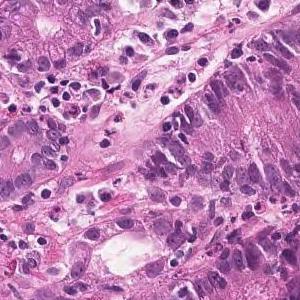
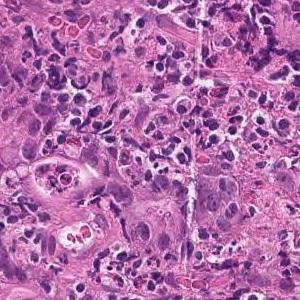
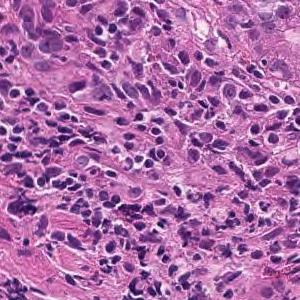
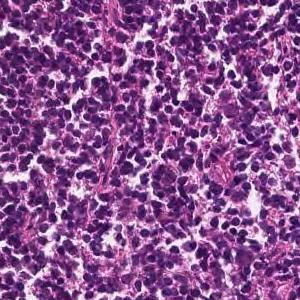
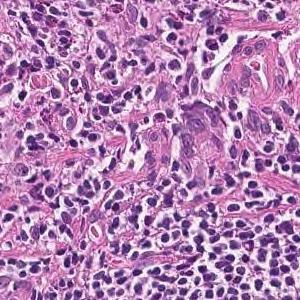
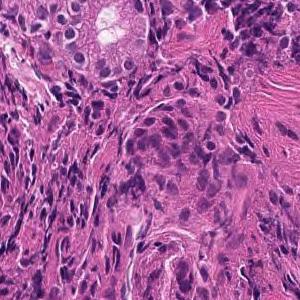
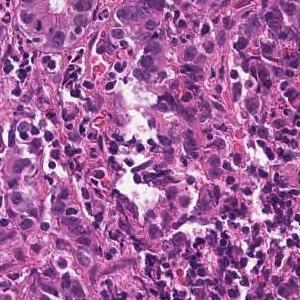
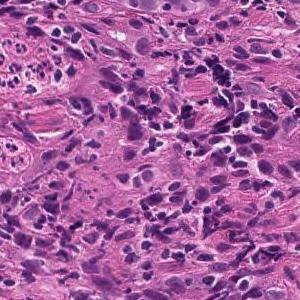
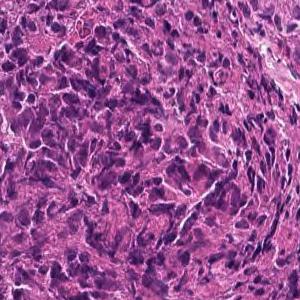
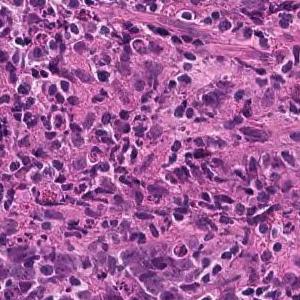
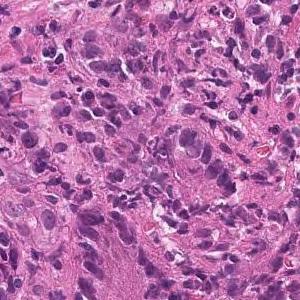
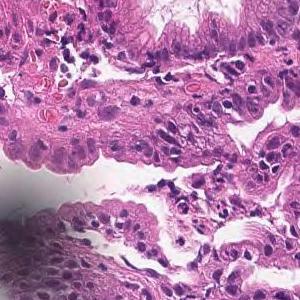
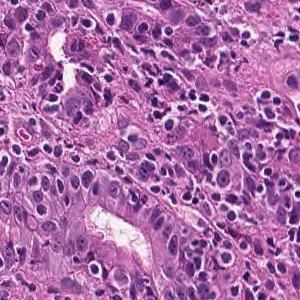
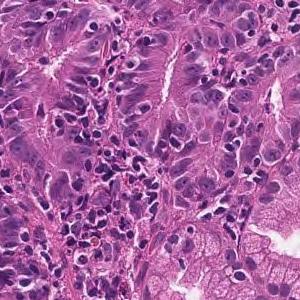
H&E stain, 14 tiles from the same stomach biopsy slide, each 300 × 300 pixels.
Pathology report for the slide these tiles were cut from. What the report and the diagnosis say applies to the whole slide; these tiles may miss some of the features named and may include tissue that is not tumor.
Tumor tissue consisting of medium-sized, cord-like or irregular glandular infiltration is observed in the superficial epithelium. Poorly differentiated adenocarcinoma, non-solid type or moderately differentiated tubular adenocarcinoma
The dataset labels this slide poorly differentiated adenocarcinoma, non-solid type.
The non-solid type named here is a Japanese Classification of Gastric Carcinoma category.
